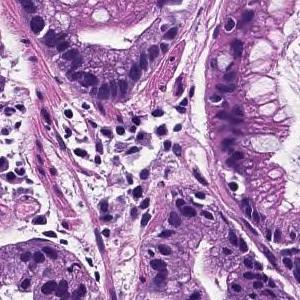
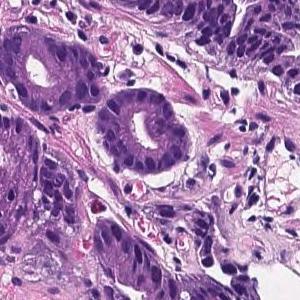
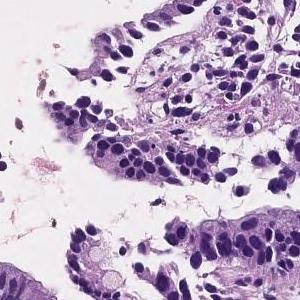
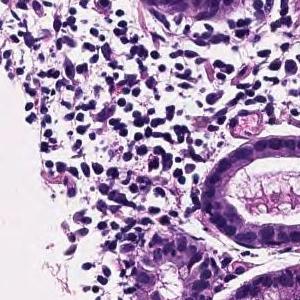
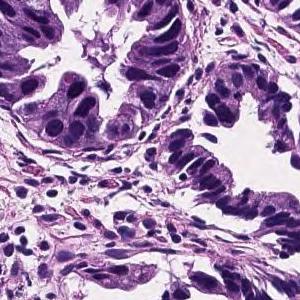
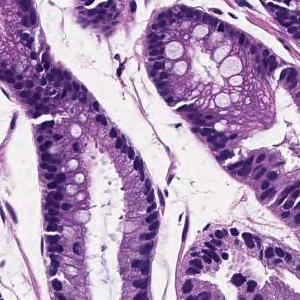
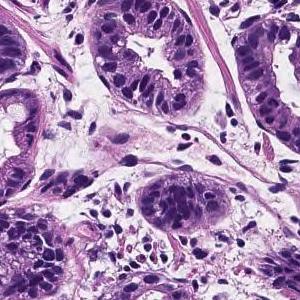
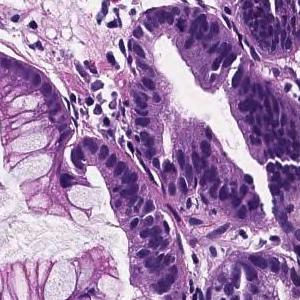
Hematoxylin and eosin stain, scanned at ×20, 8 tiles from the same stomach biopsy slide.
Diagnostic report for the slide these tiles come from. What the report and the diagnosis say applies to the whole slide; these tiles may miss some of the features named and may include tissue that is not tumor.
Tumor cells are large, highly columnar, large club-shaped nuclei, and are associated with chromatin aggregation. Papillary adenocarcinoma.
